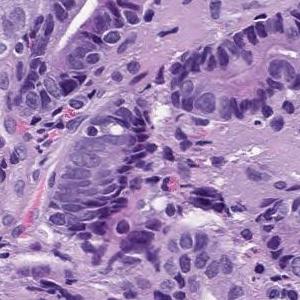
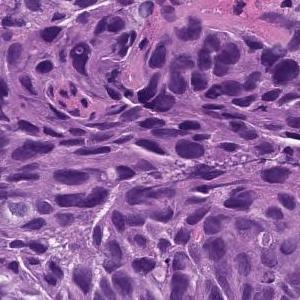
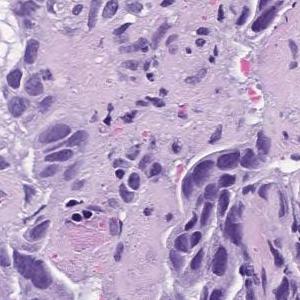
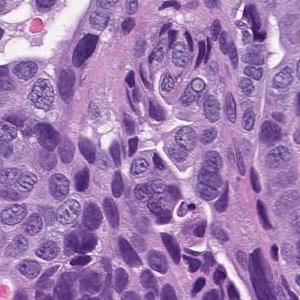
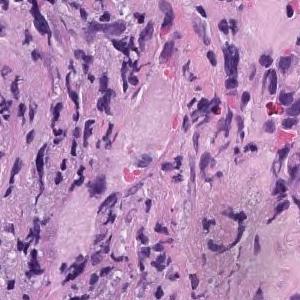
5 patches cut from one gastric biopsy slide; 300×300 px each; ×20; H&E.
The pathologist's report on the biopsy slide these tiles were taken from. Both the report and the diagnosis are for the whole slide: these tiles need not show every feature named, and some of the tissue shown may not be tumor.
In the superficial epithelium, tumor tissue that invades by forming medium-sized to small, irregular ducts is observed. moderately differentiated tubular adenocarcinoma.
